7 patches cut from one gastric biopsy slide; 300×300 px each; hematoxylin and eosin stain; scanned at ×20.
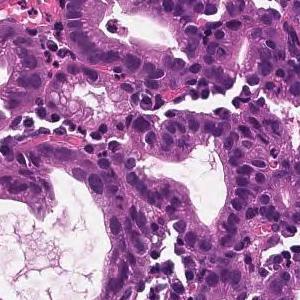
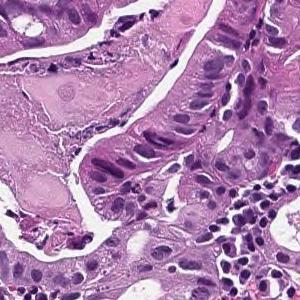
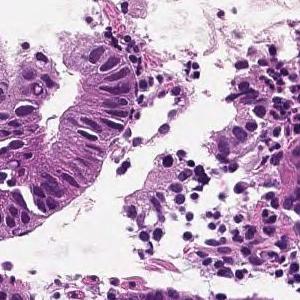
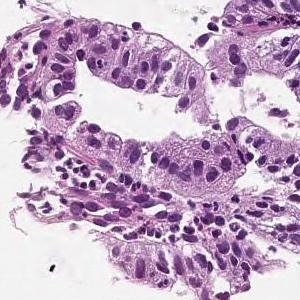
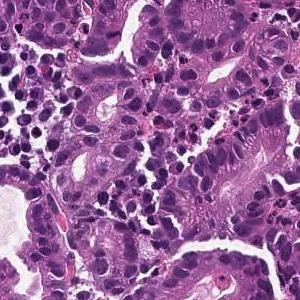
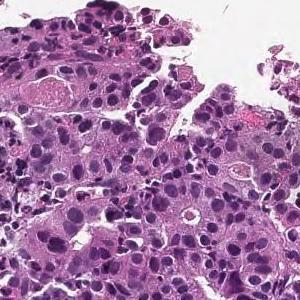
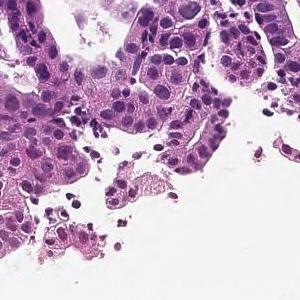
Pathology report for the biopsy slide these tiles were cut from. The report describes the whole slide, diagnosis included: not every finding it names need appear in these tiles, which may also show non-tumor tissue.
From the superficial epithelium to the muscularis mucosae, tumor tissue consisting of medium-sized and irregular glandular ducts infiltrating is observed. Well differentiated tubular adenocarcinoma
